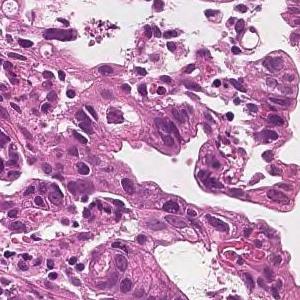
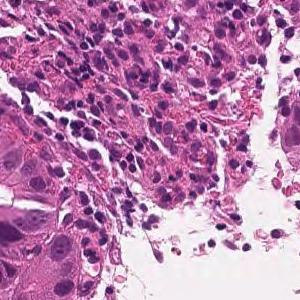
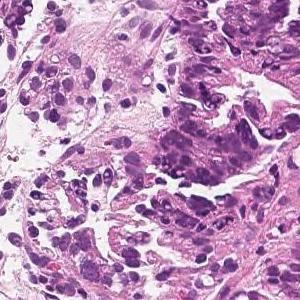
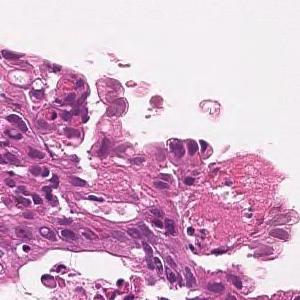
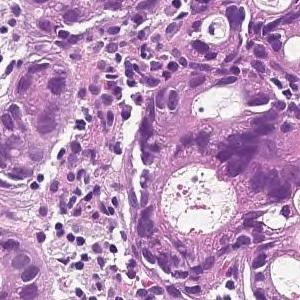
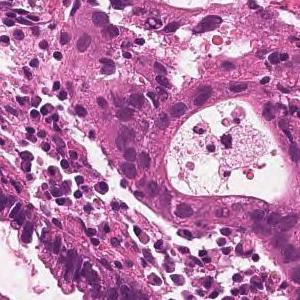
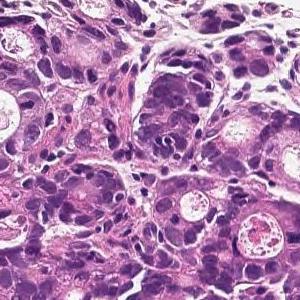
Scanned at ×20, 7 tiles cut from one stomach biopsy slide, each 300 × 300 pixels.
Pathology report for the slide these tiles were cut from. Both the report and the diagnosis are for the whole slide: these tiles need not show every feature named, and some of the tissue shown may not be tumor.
On the superficial epithelium, tumor tissue is found in which medium-sized irregular gland ducts fuse with each other and infiltrate. moderately differentiated tubular adenocarcinoma
